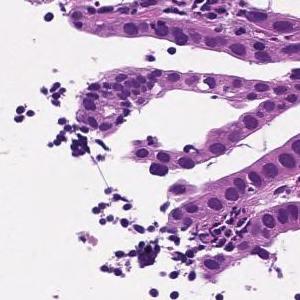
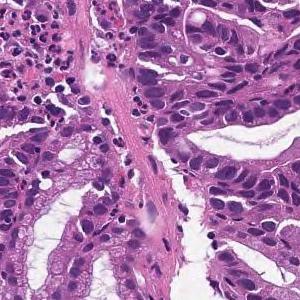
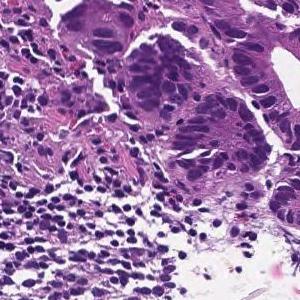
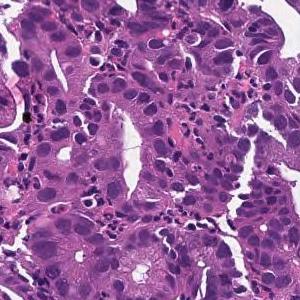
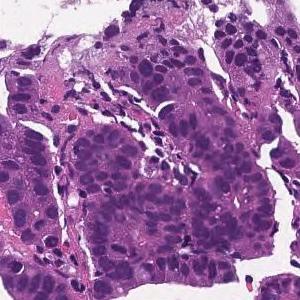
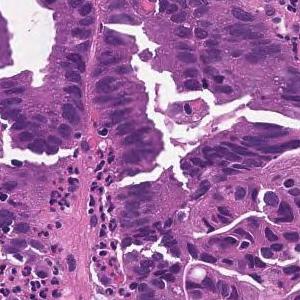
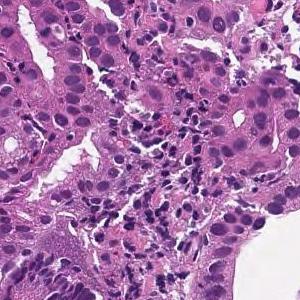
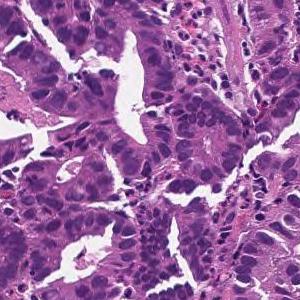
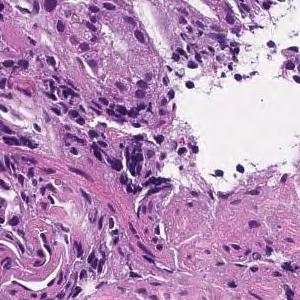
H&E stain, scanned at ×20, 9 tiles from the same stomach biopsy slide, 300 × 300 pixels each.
Diagnostic report for the slide these tiles come from. The findings and the diagnosis refer to the entire slide; these tiles show only part of it, possibly with non-tumor tissue, and may not show every feature named.
From the superficial epithelium to the muscularis mucosae, tumor tissue consisting of medium-sized and irregular glandular ducts infiltrating is observed. Well differentiated tubular adenocarcinoma
